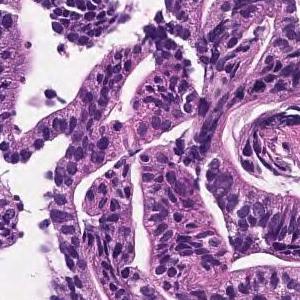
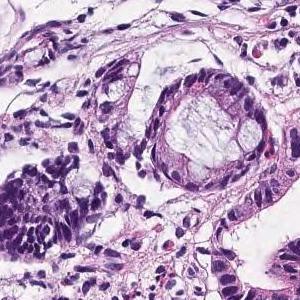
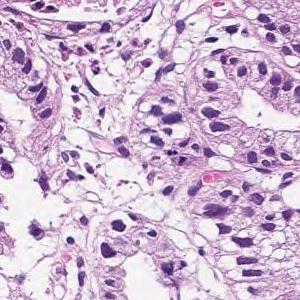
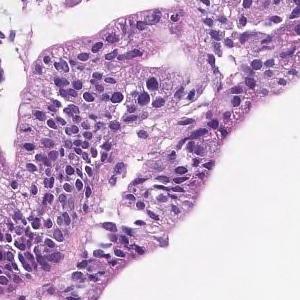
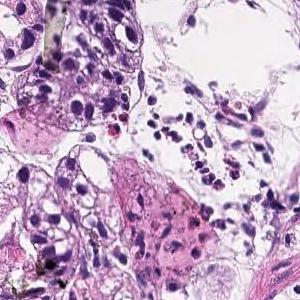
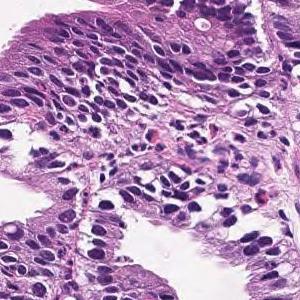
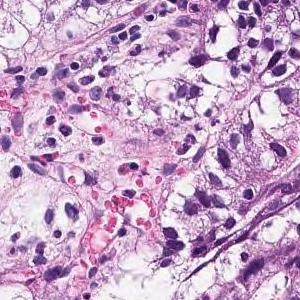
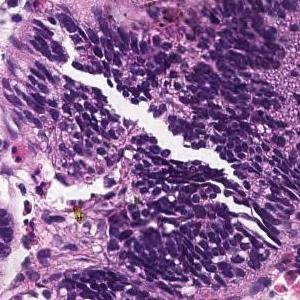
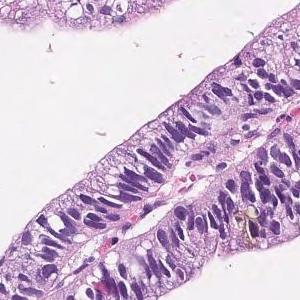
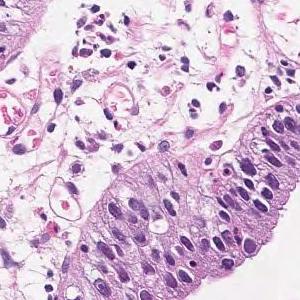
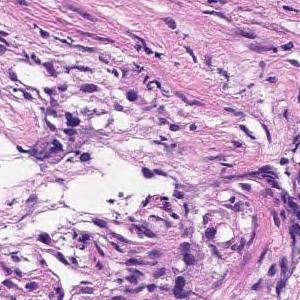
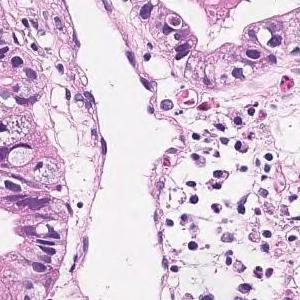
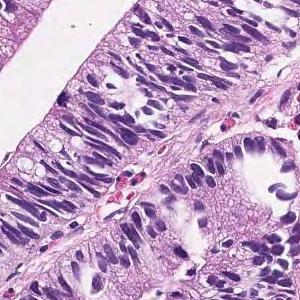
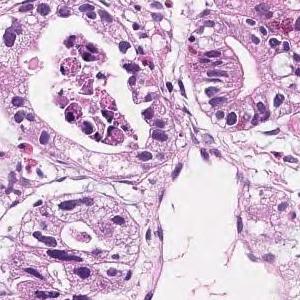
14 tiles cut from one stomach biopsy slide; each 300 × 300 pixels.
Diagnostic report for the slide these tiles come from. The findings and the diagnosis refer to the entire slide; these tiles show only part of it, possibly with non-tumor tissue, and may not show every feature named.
In the superficial epithelium, tumor tissue that invades by forming medium-sized to small, irregular ducts is observed. Moderately differentiated adenocarcinoma.
Histologic type: Moderately differentiated tubular adenocarcinoma.
